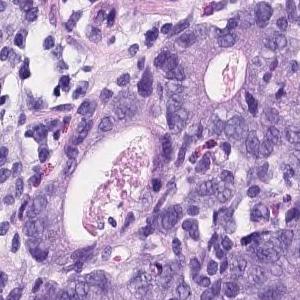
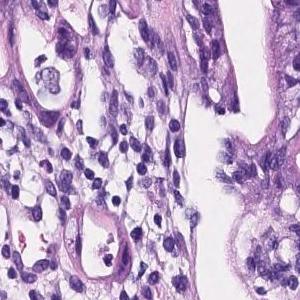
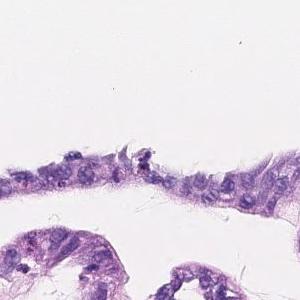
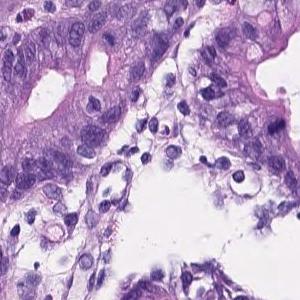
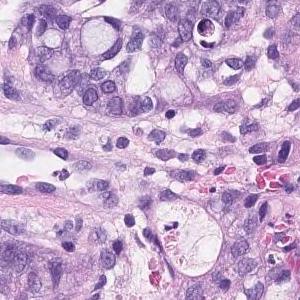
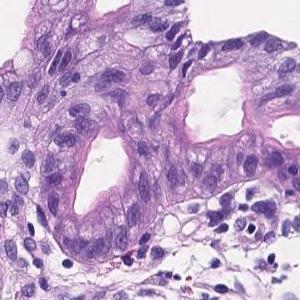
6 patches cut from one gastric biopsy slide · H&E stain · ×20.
The pathologist's report on the biopsy slide these tiles were taken from. The report describes the whole slide, diagnosis included: not every finding it names need appear in these tiles, which may also show non-tumor tissue.
Irregularly fused atypical ducts proliferating while replacing existing ducts was observed. moderately differentiated tubular adenocarcinoma
